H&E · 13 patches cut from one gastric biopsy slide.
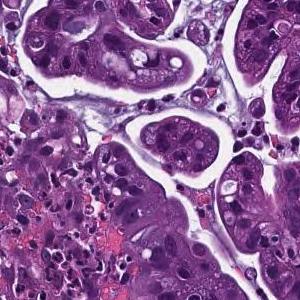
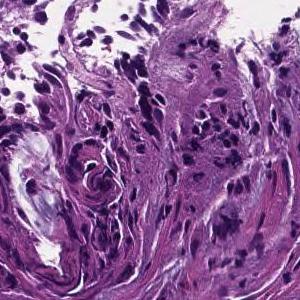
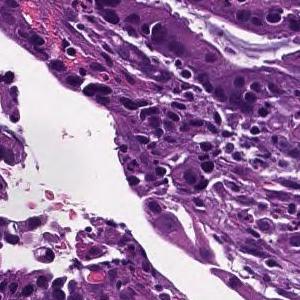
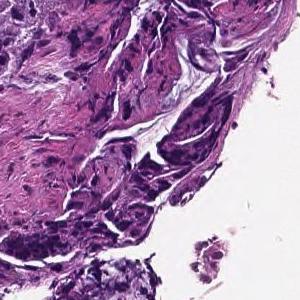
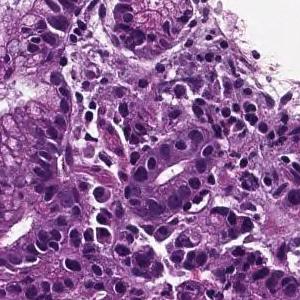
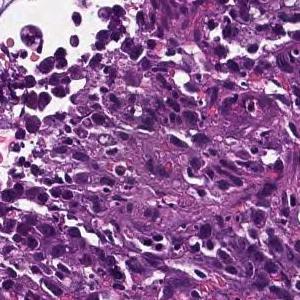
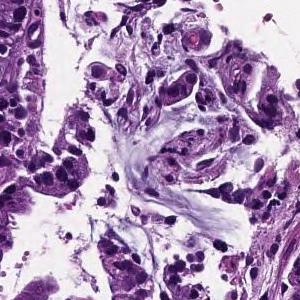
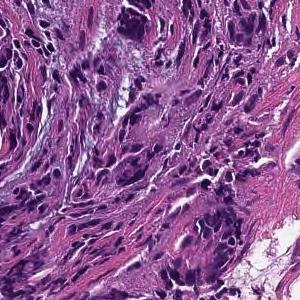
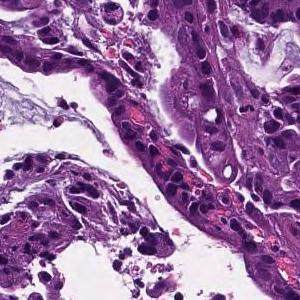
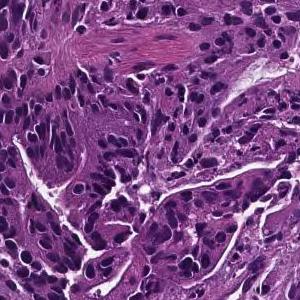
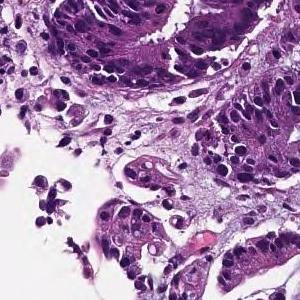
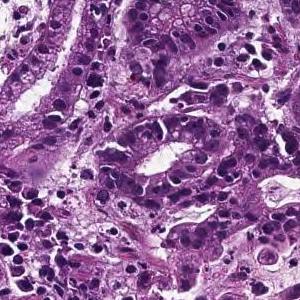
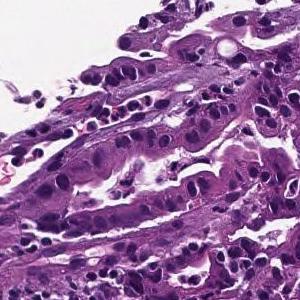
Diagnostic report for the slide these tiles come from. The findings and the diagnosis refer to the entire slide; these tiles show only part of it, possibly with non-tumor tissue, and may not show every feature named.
On the superficial epithelium, tumor tissue consisting of large irregular glandular ducts partially fused and infiltrated is observed. Well to moderately differentiated tubular adenocarcinoma (well differentiated tubular adenocarcinoma, moderately differentiated tubular adenocarcinoma)
Subtype: Well to moderately differentiated tubular adenocarcinoma.
